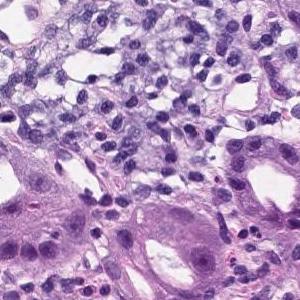
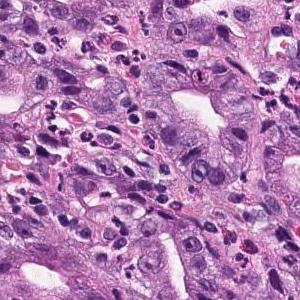
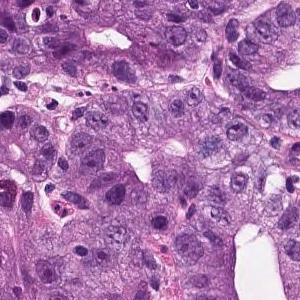
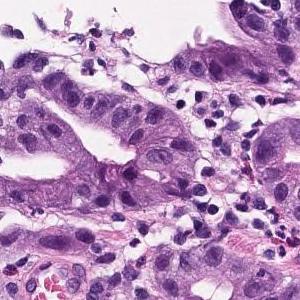
4 image tiles from a single gastric biopsy slide, 300 × 300 pixels each, ×20.
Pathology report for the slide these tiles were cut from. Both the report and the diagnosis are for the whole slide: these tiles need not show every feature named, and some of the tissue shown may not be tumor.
In the superficial epithelium, tumor tissue that invades by forming medium-sized to small, irregular ducts is observed. Well to moderately differentiated adenocarcinoma (well differentiated tubular adenocarcinoma, moderately differentiated tubular adenocarcinoma).
Tumor subtype: well to moderately differentiated tubular adenocarcinoma.
